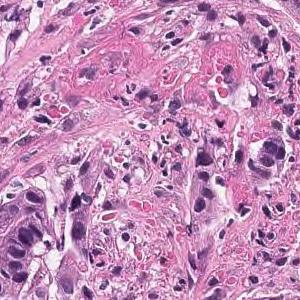
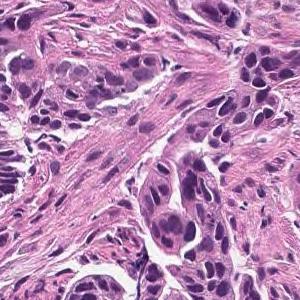
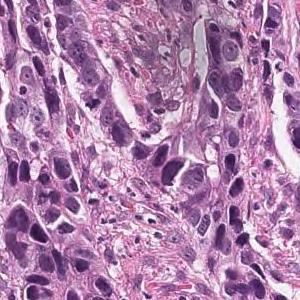
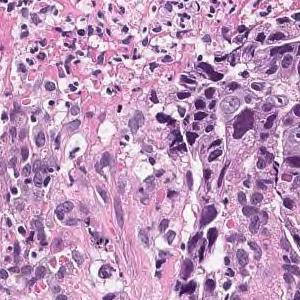
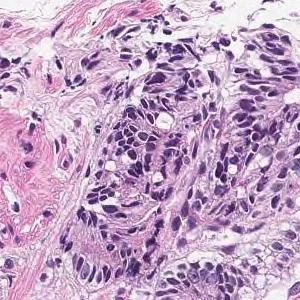
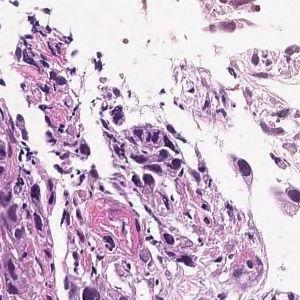
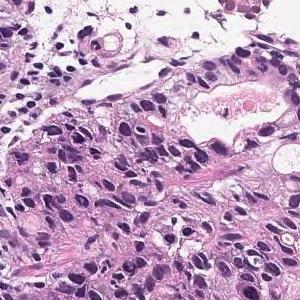
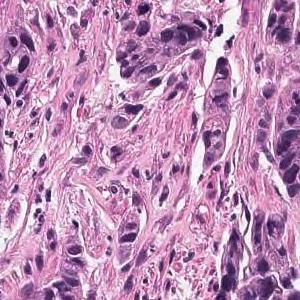
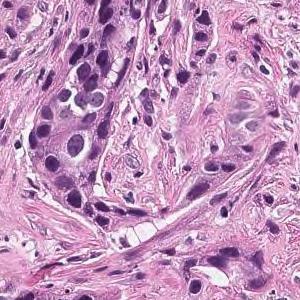
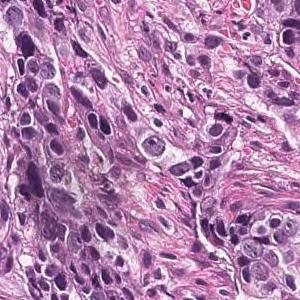
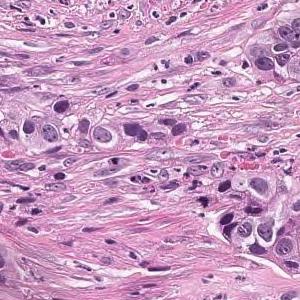
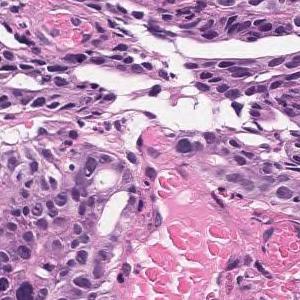
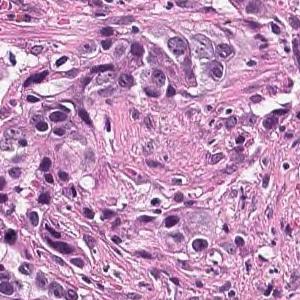
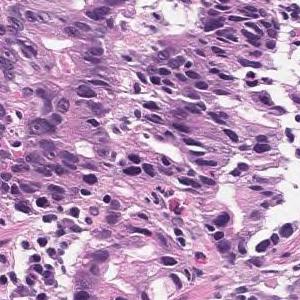
14 image tiles from a single gastric biopsy slide; H&E stain; scanned at ×20.
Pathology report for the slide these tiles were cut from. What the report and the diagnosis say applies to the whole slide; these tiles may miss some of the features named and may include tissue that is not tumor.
Tumor cells are large, highly columnar, large club-shaped nuclei, and are associated with chromatin aggregation. Papillary adenocarcinoma.
